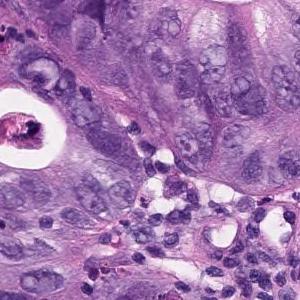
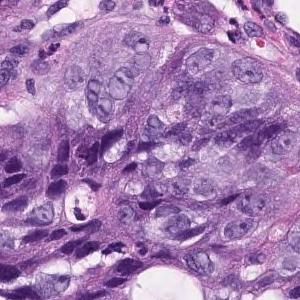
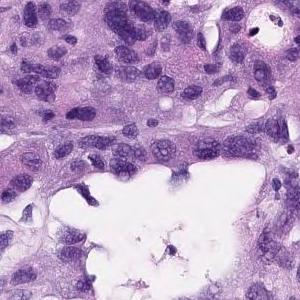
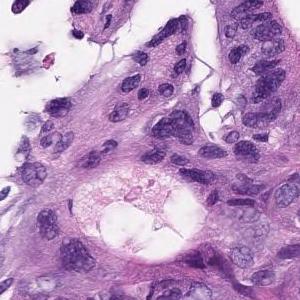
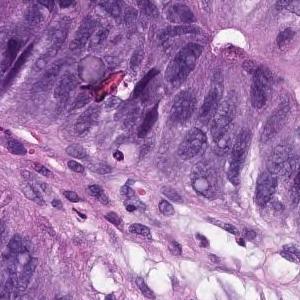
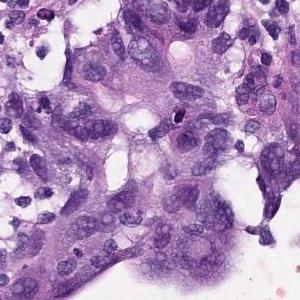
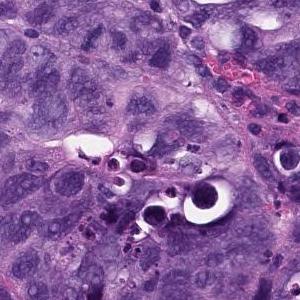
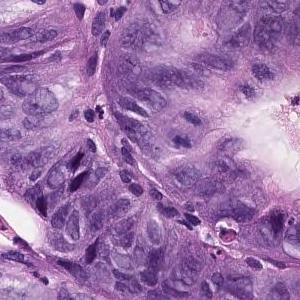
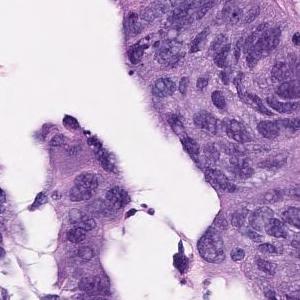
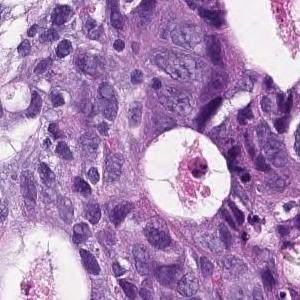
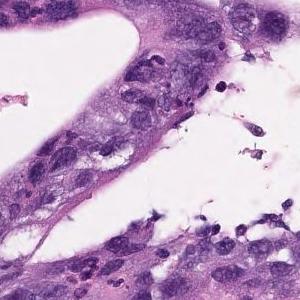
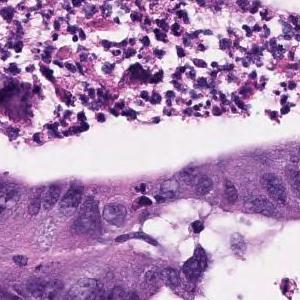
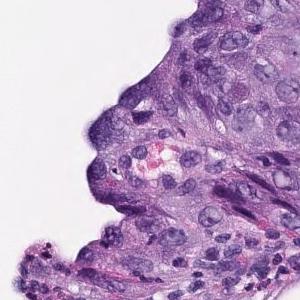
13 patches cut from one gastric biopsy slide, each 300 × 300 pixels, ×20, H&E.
Pathology report for the slide these tiles were cut from. Both the report and the diagnosis are for the whole slide: these tiles need not show every feature named, and some of the tissue shown may not be tumor.
In the superficial epithelium, tumor tissue that invades by forming medium-sized to small, irregular ducts is observed. Moderately differentiated adenocarcinoma.
Tumor subtype: moderately differentiated tubular adenocarcinoma.
